10 tiles from the same stomach biopsy slide · 300 × 300 pixels each · H&E · 20× magnification.
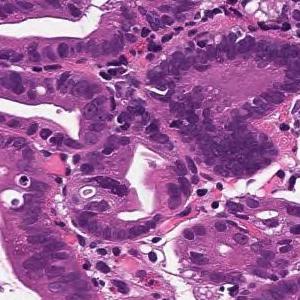
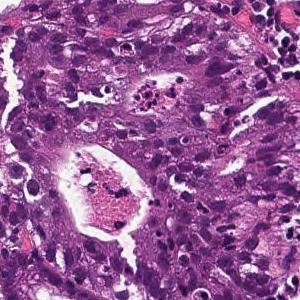
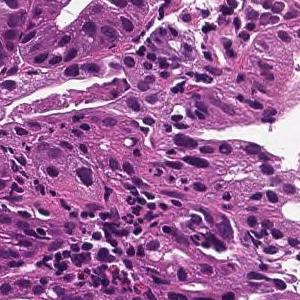
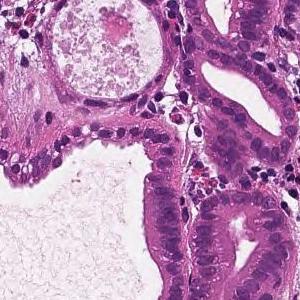
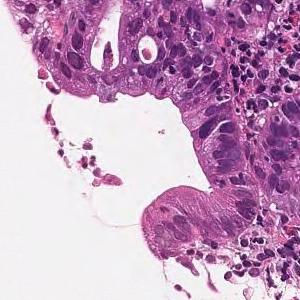
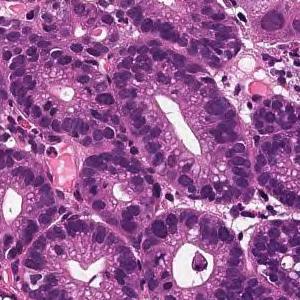
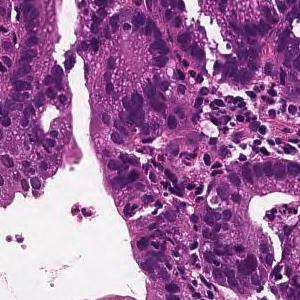
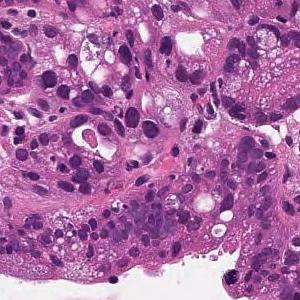
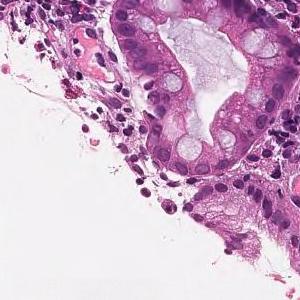
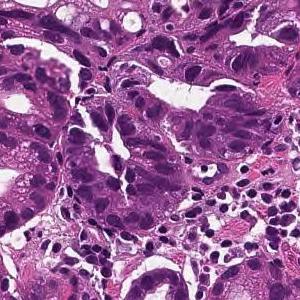
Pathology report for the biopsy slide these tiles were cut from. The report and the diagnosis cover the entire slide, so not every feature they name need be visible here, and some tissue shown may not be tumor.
In the superficial epithelium, tumor tissue that invades by forming medium-sized to small, irregular ducts is observed. moderately differentiated tubular adenocarcinoma.
